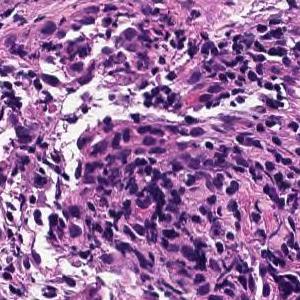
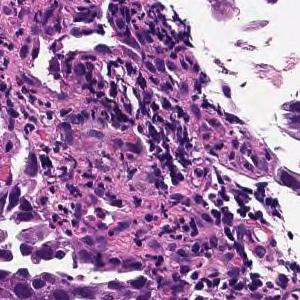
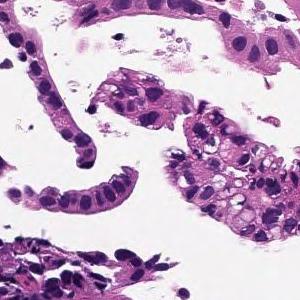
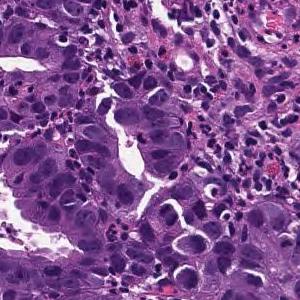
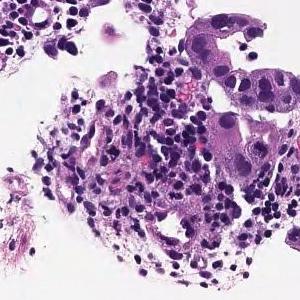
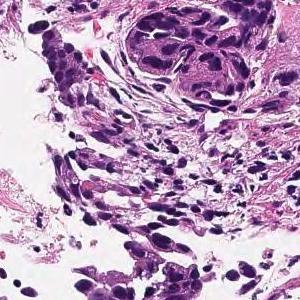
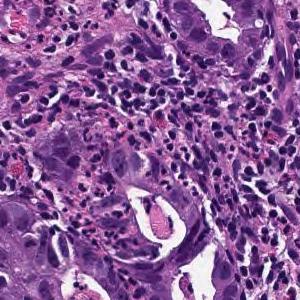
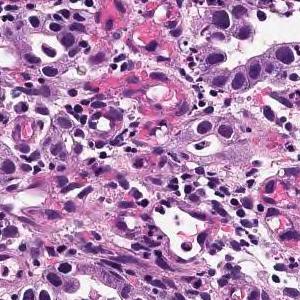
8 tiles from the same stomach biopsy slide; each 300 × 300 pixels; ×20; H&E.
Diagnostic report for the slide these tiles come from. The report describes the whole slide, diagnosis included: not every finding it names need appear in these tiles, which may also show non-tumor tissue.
In the superficial epithelium, tumor tissue that invades by forming medium-sized to small, irregular ducts is observed. moderately differentiated tubular adenocarcinoma.
